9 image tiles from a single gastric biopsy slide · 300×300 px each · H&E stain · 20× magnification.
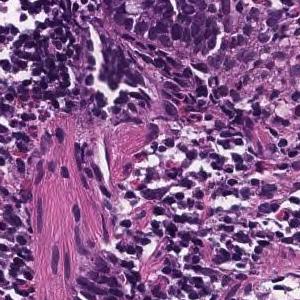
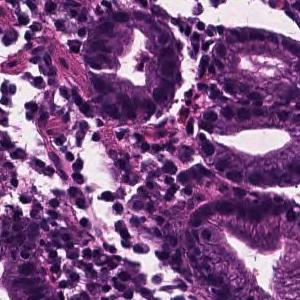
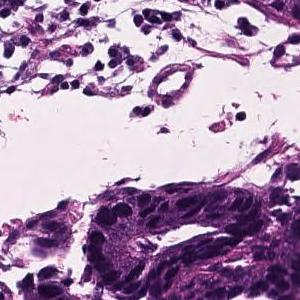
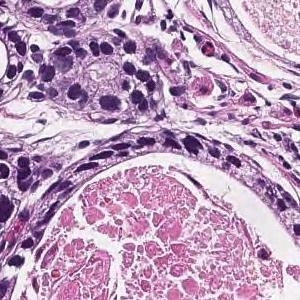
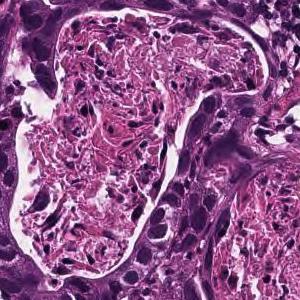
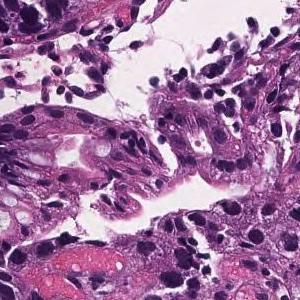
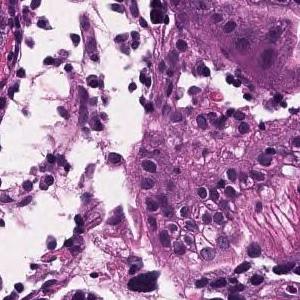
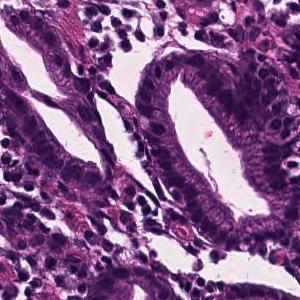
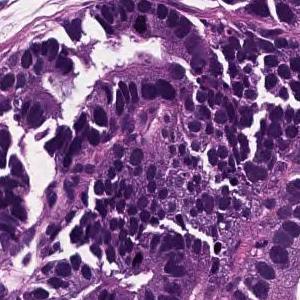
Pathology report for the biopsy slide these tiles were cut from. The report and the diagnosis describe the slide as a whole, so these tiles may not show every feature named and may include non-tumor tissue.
In the superficial epithelium, tumor tissue that invades by forming medium-sized to small, irregular ducts is observed. Well differentiated tubular adenocarcinoma.
